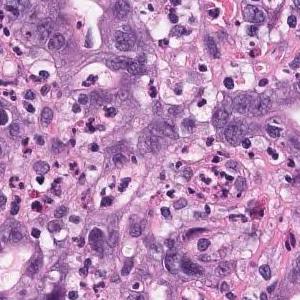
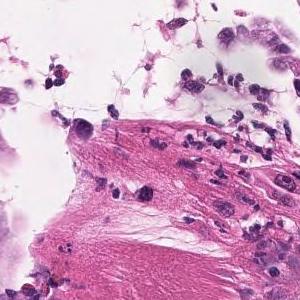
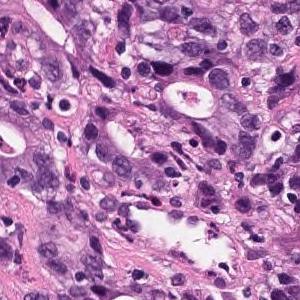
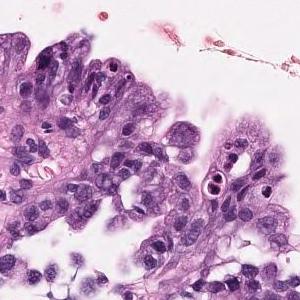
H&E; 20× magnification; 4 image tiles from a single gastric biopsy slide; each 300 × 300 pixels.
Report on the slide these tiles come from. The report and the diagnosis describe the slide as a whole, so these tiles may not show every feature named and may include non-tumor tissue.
Atypical ducts proliferating with obscure duct construction and solid sequences is observed. Moderately to poorly differentiated adenocarcinoma.
